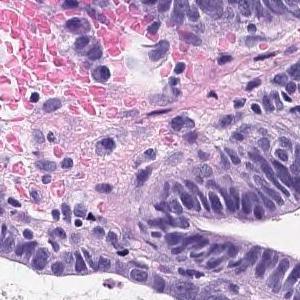
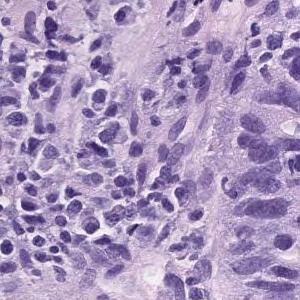
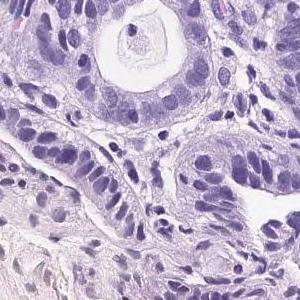
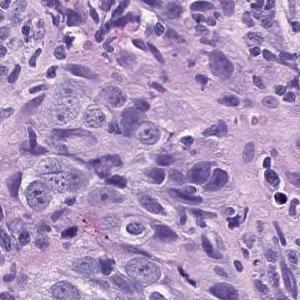
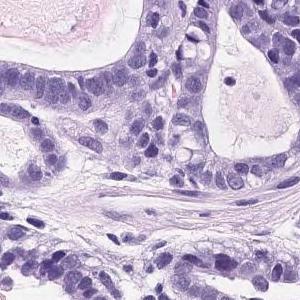
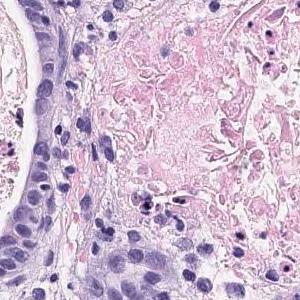
6 image tiles from a single gastric biopsy slide, each 300 × 300 pixels, hematoxylin and eosin stain, 20× magnification.
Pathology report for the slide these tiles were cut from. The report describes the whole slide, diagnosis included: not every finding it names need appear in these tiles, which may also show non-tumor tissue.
The superficial epithelium shows a large sheet-like shape, and some tumor tissue infiltrates with small irregular ducts. Poorly differentiated adenocarcinoma, solid-type
Subtype: Poorly differentiated adenocarcinoma, solid type. This name comes from the Japanese Classification of Gastric Carcinoma; the WHO 2019 classification calls it tubular adenocarcinoma, poorly differentiated.
